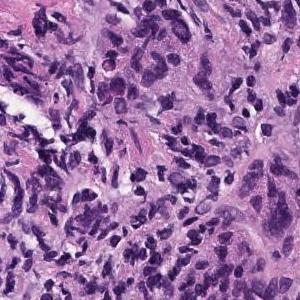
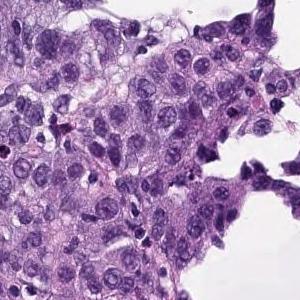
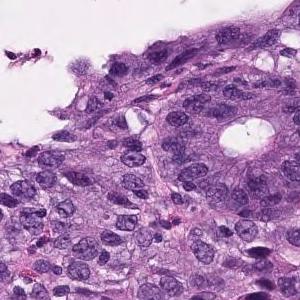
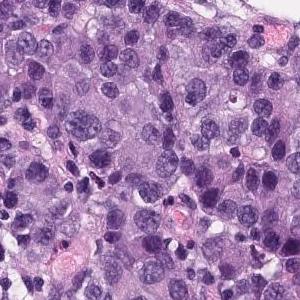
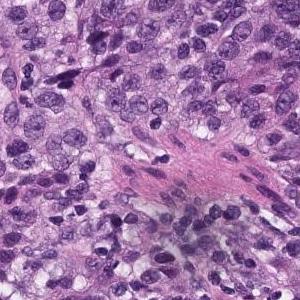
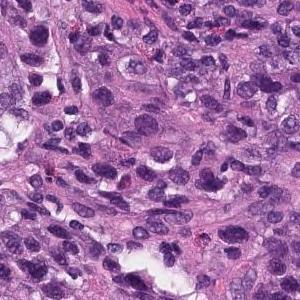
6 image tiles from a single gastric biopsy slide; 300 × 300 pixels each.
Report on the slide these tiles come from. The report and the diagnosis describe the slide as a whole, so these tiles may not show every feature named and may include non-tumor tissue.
In the superficial epithelium, tumor tissue that invades by forming medium-sized to small, irregular ducts is observed. Moderately differentiated adenocarcinoma.
Tumor subtype: moderately differentiated tubular adenocarcinoma.
